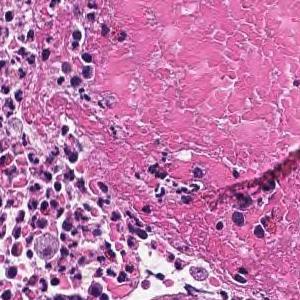
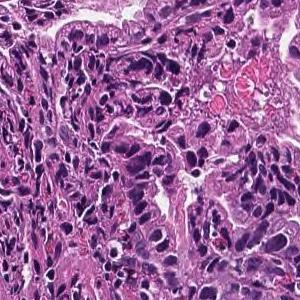
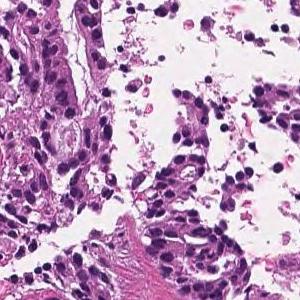
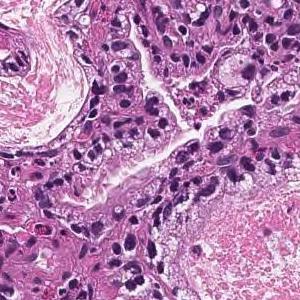
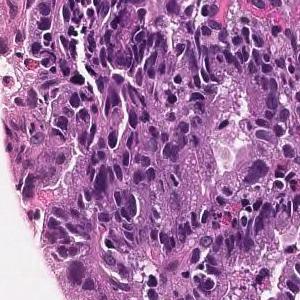
H&E stain, scanned at ×20, 5 tiles cut from one stomach biopsy slide.
Report on the slide these tiles come from. Both the report and the diagnosis are for the whole slide: these tiles need not show every feature named, and some of the tissue shown may not be tumor.
On the superficial epithelium, tumor tissue that infiltrates by forming medium-sized papillary or small irregular ducts is observed. Papillary adenocarcinoma
